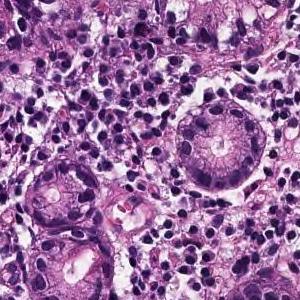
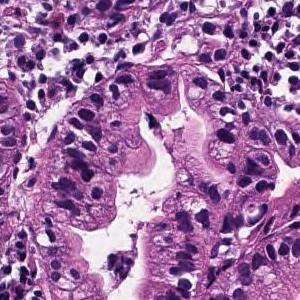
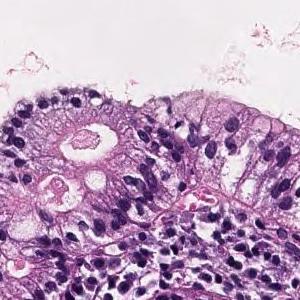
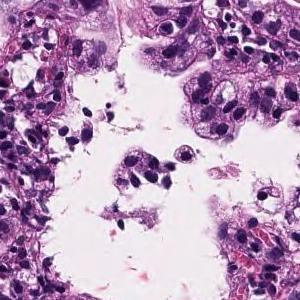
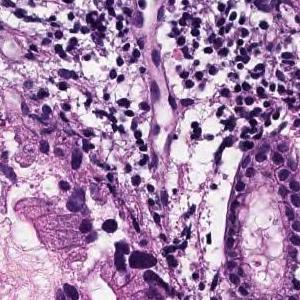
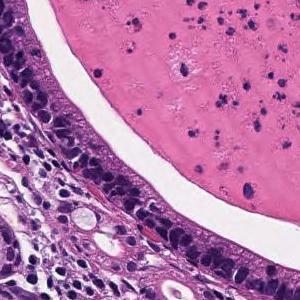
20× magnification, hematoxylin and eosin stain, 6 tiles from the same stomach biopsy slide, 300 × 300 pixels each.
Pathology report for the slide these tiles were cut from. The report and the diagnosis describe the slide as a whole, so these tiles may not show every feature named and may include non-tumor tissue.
From the superficial epithelium to the muscularis mucosae, tumor tissue consisting of medium-sized and irregular glandular ducts infiltrating is observed. Well differentiated tubular adenocarcinoma
